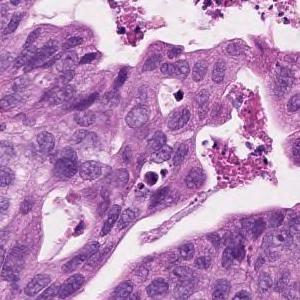
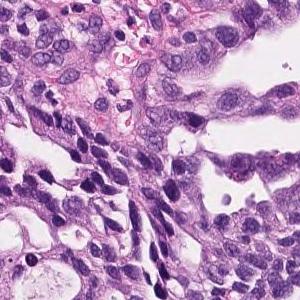
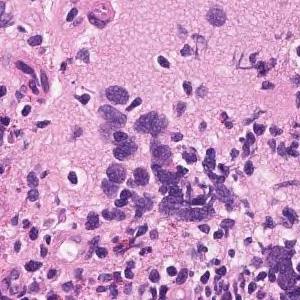
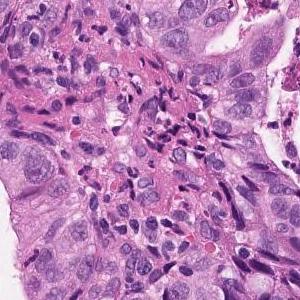
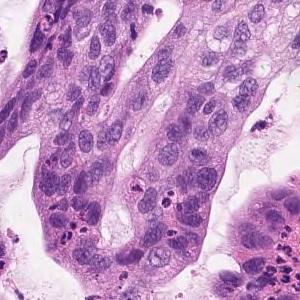
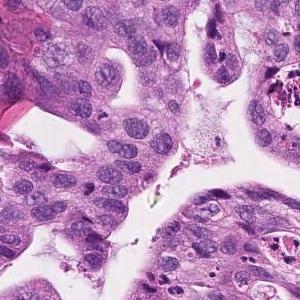
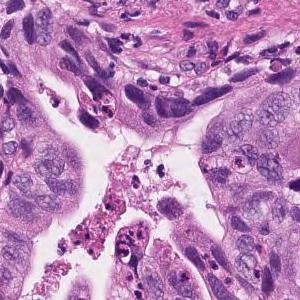
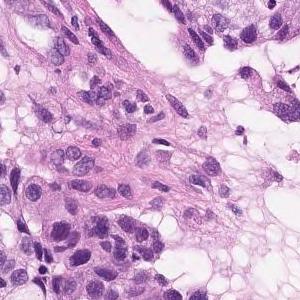
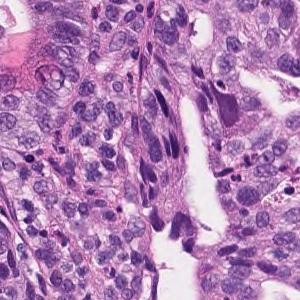
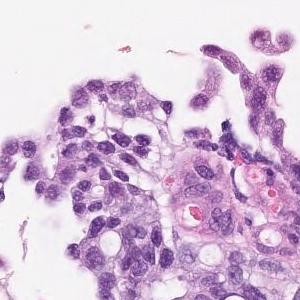
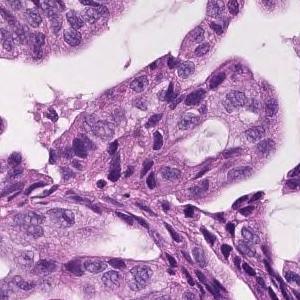
H&E; scanned at ×20; 11 tiles from the same stomach biopsy slide.
Report on the slide these tiles come from. The report and the diagnosis describe the slide as a whole, so these tiles may not show every feature named and may include non-tumor tissue.
Atypical epithelium forming papillary or sieving ducts and infiltrating growth is observed. Papillary adenocarcinoma.
